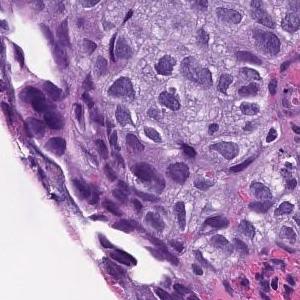
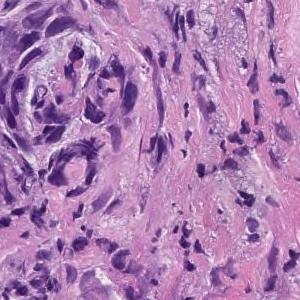
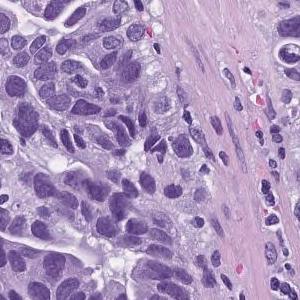
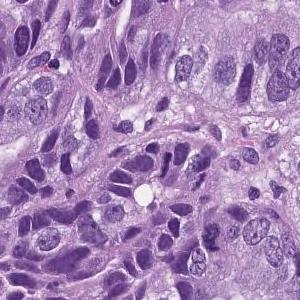
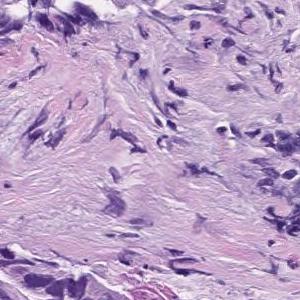
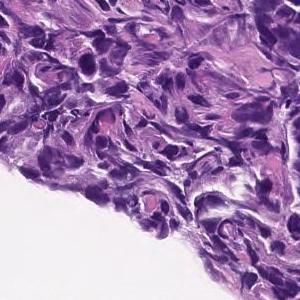
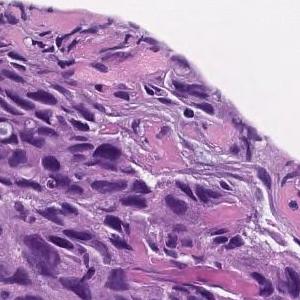
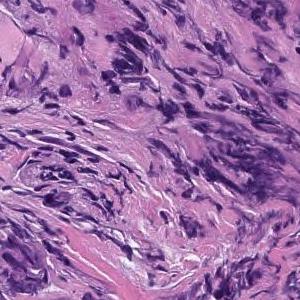
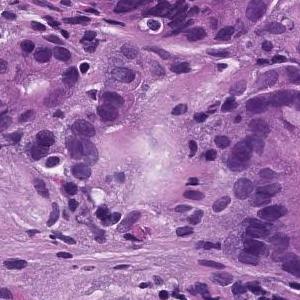
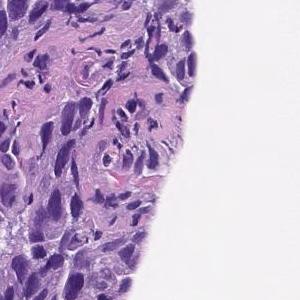
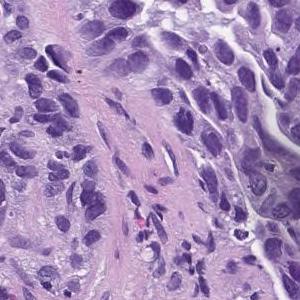
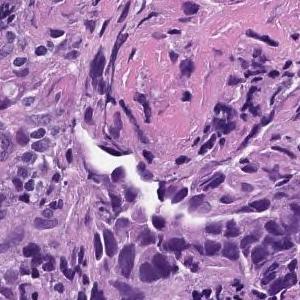
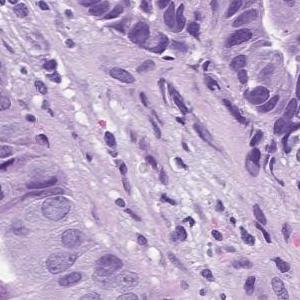
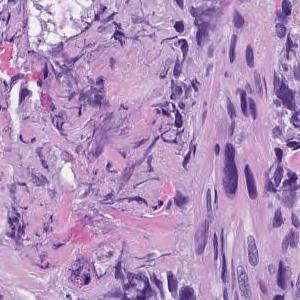
H&E stain, 14 patches cut from one gastric biopsy slide.
Diagnostic report for the slide these tiles come from. What the report and the diagnosis say applies to the whole slide; these tiles may miss some of the features named and may include tissue that is not tumor.
In the superficial epithelium, tumor tissue that invades by forming medium-sized to small, irregular ducts is observed. moderately differentiated tubular adenocarcinoma.
